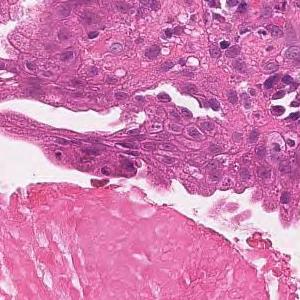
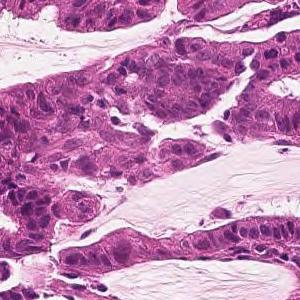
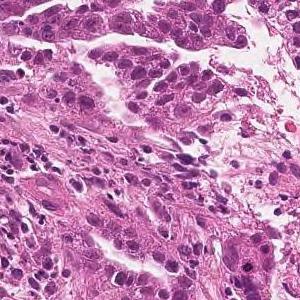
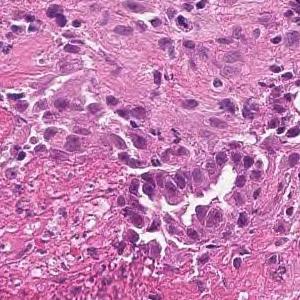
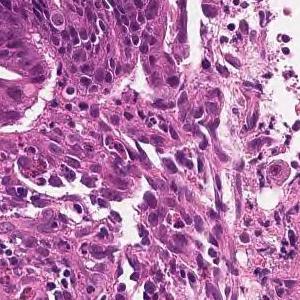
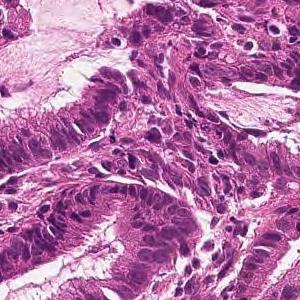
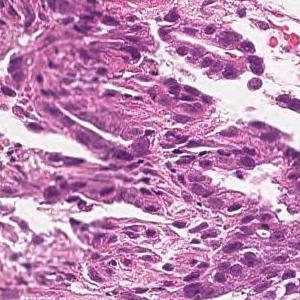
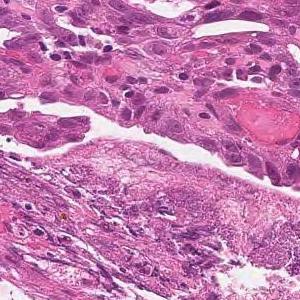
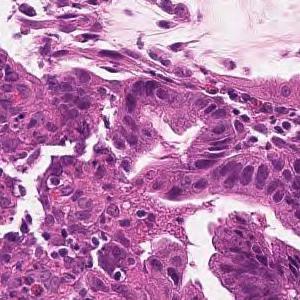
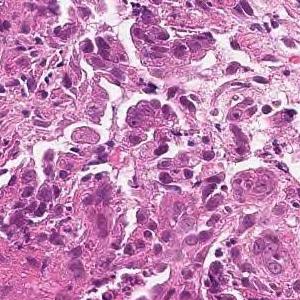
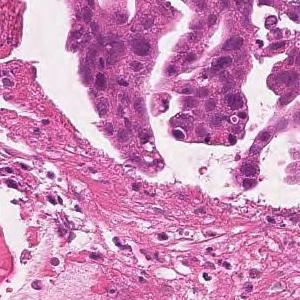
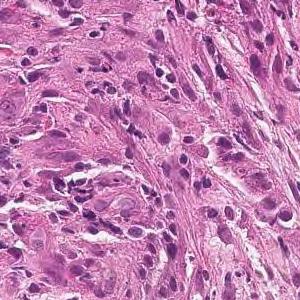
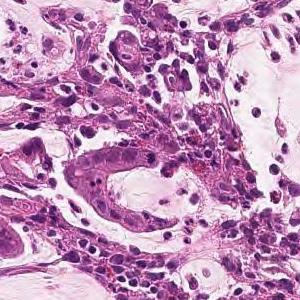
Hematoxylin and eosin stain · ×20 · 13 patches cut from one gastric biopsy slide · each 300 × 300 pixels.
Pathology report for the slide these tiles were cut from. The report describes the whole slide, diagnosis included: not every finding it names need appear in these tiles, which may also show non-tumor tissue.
Tumor tissue consisting of large papillary structures is found in the superficial epithelium. Papillary adenocarcinoma.
